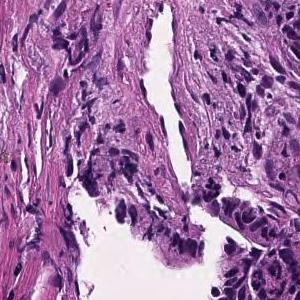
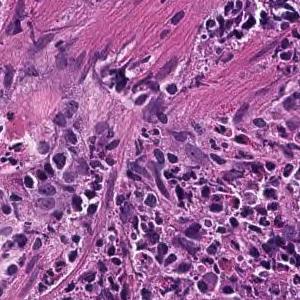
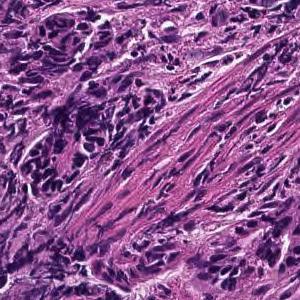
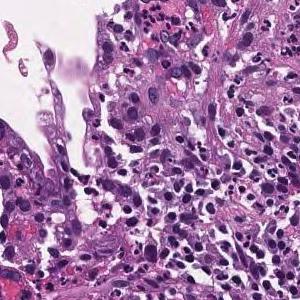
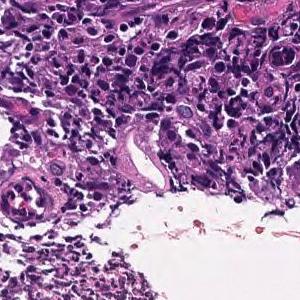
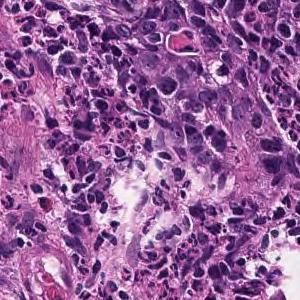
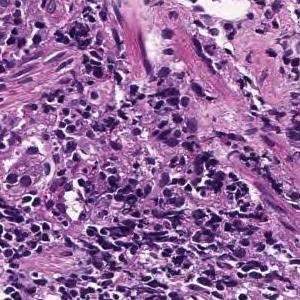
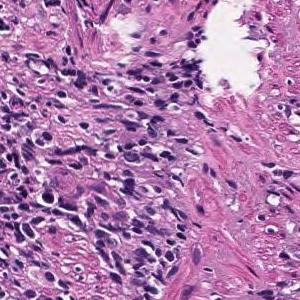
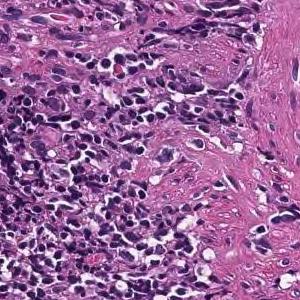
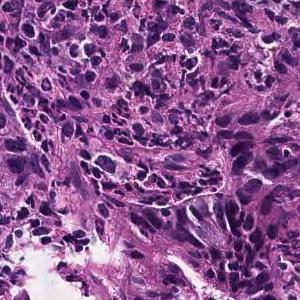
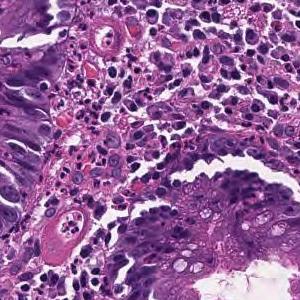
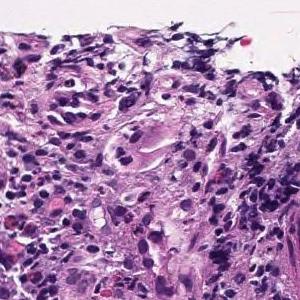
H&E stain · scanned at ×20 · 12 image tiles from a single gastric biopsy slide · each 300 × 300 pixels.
The pathologist's report on the biopsy slide these tiles were taken from. Both the report and the diagnosis are for the whole slide: these tiles need not show every feature named, and some of the tissue shown may not be tumor.
On the superficial epithelium, tumor tissue consisting of large, irregular glandular ducts partially fused and infiltrated is observed. Well to moderately differentiated tubular adenocarcinoma (well differentiated tubular adenocarcinoma, moderately differentiated tubular adenocarcinoma)
Subtype: Well to moderately differentiated tubular adenocarcinoma.
